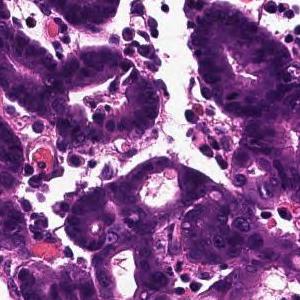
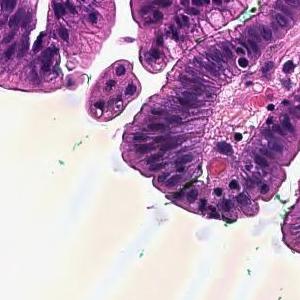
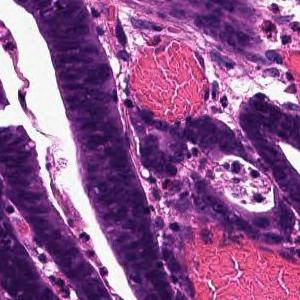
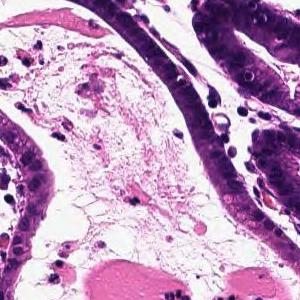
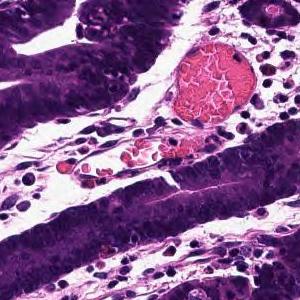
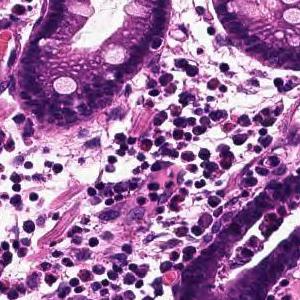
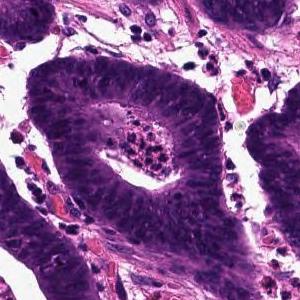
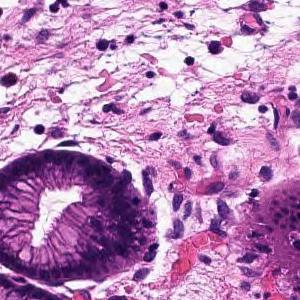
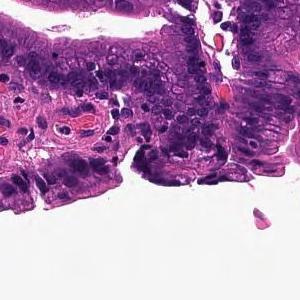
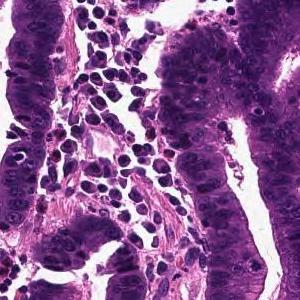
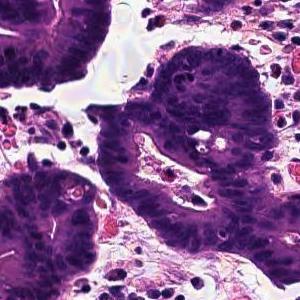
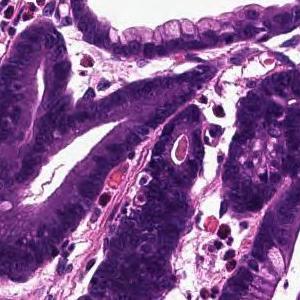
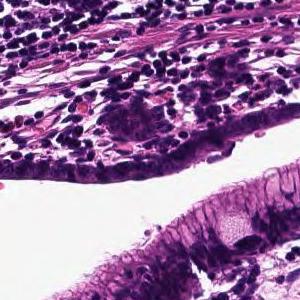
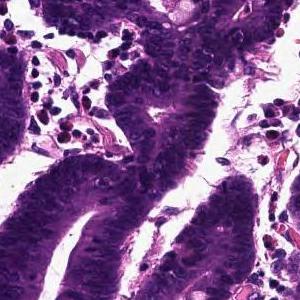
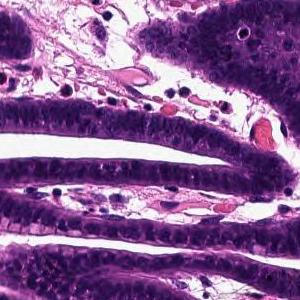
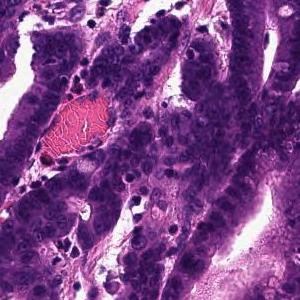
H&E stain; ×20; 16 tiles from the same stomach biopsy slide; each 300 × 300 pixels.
The pathologist's report on the biopsy slide these tiles were taken from. The findings and the diagnosis refer to the entire slide; these tiles show only part of it, possibly with non-tumor tissue, and may not show every feature named.
Tumor tissue that infiltrates by forming large papillary or large irregular glandular ducts is observed confined to the mucosa. Papillary adenocarcinoma
